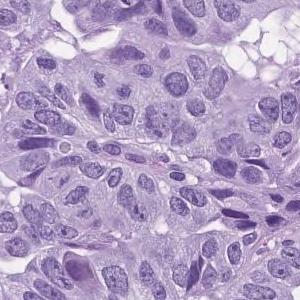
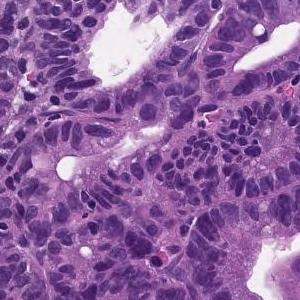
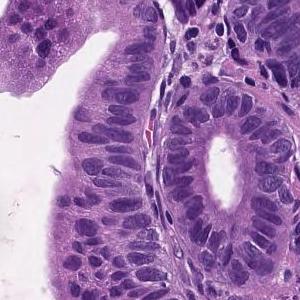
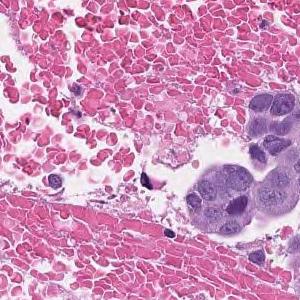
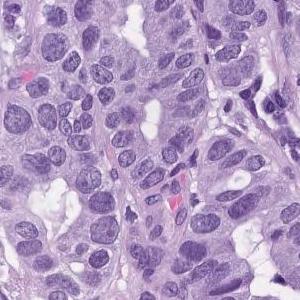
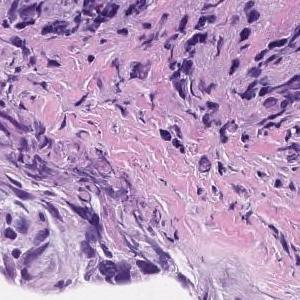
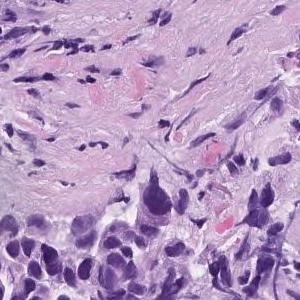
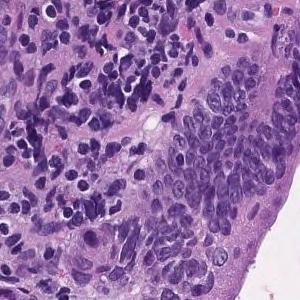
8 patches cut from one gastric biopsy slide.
Pathology report for the slide these tiles were cut from. The findings and the diagnosis refer to the entire slide; these tiles show only part of it, possibly with non-tumor tissue, and may not show every feature named.
In the superficial epithelium, tumor tissue that invades by forming medium-sized to small, irregular ducts is observed. moderately differentiated tubular adenocarcinoma.
